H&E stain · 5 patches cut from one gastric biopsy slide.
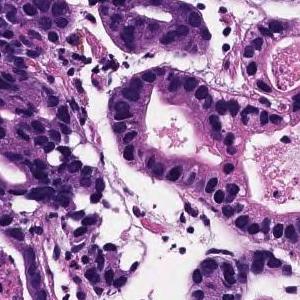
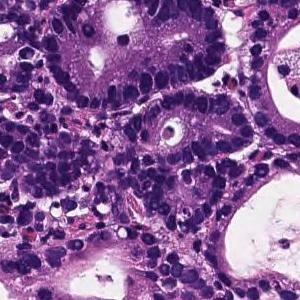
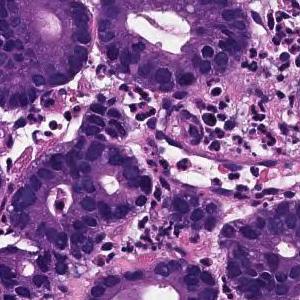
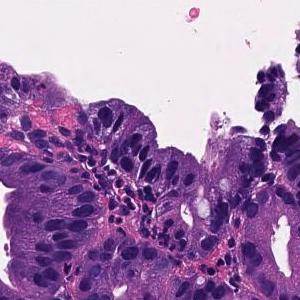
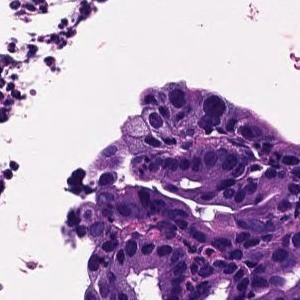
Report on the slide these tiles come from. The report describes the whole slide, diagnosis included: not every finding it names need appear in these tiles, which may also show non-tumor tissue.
From the superficial epithelium to the muscularis mucosae, tumor tissue consisting of medium-sized and irregular glandular ducts infiltrating is observed. Well differentiated tubular adenocarcinoma
